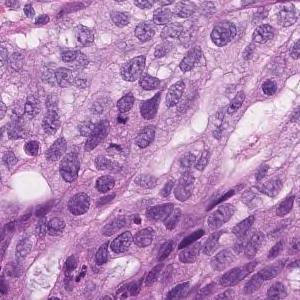
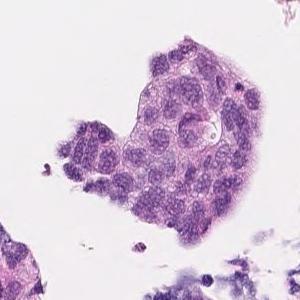
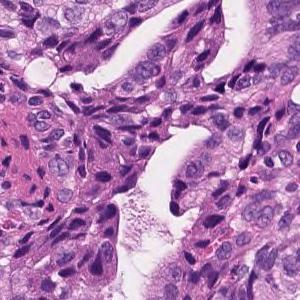
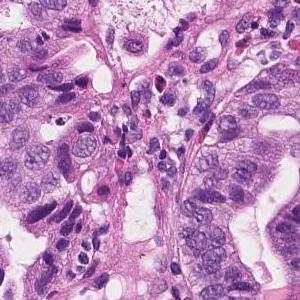
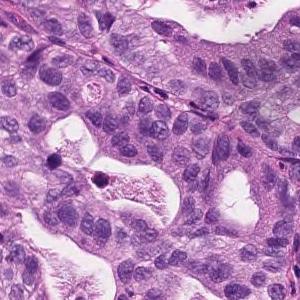
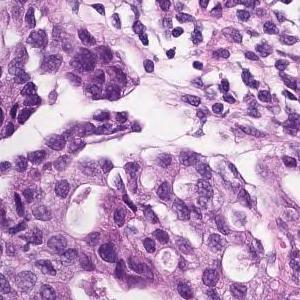
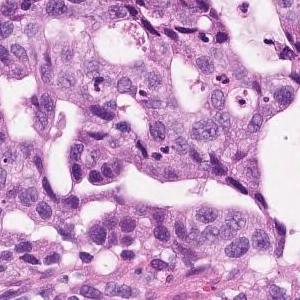
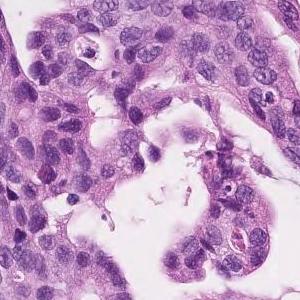
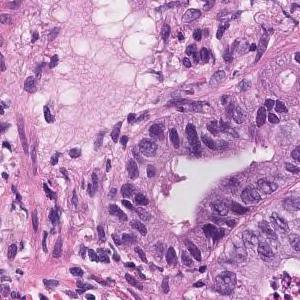
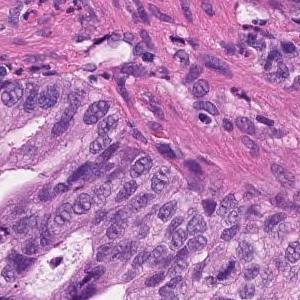
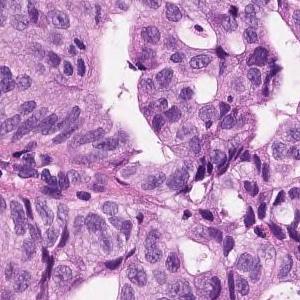
H&E; ×20; 11 tiles cut from one stomach biopsy slide; 300×300 px each.
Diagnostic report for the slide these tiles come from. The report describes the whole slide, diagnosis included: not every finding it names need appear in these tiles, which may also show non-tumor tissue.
Atypical epithelium forming papillary or sieving ducts and infiltrating growth is observed. Papillary adenocarcinoma.
